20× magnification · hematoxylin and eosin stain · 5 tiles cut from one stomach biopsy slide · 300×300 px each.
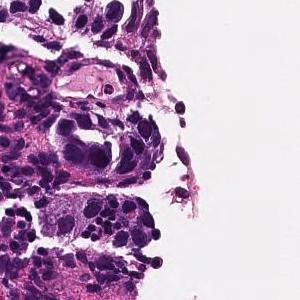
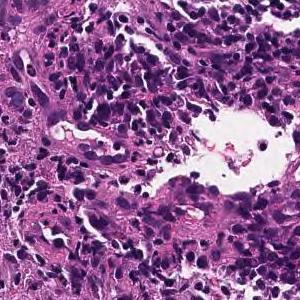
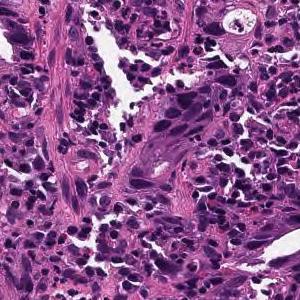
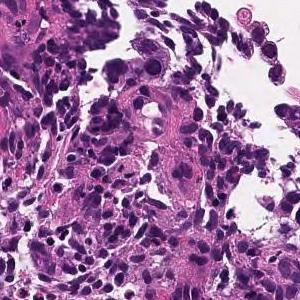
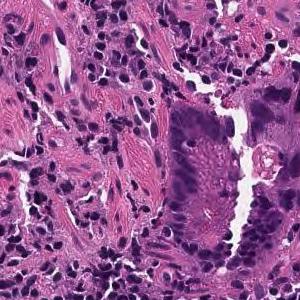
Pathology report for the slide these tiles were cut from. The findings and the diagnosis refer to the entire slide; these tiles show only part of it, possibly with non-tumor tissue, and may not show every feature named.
On the superficial epithelium, tumor tissue consisting of large irregular glandular ducts partially fused and infiltrated is observed. Well to moderately differentiated tubular adenocarcinoma (well differentiated tubular adenocarcinoma, moderately differentiated tubular adenocarcinoma)
Classified as well to moderately differentiated tubular adenocarcinoma.
